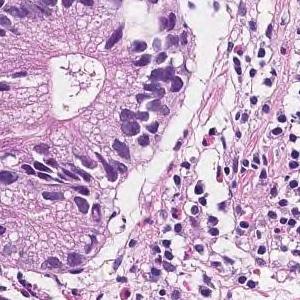
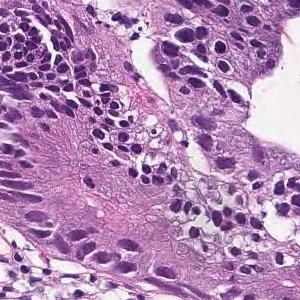
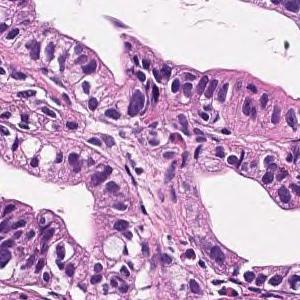
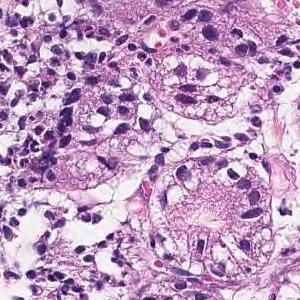
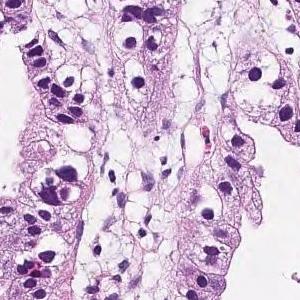
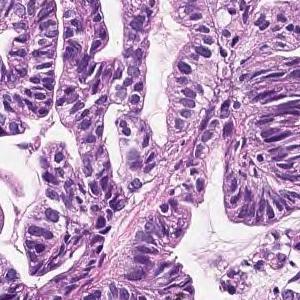
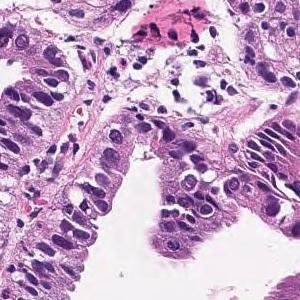
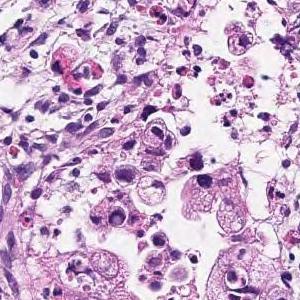
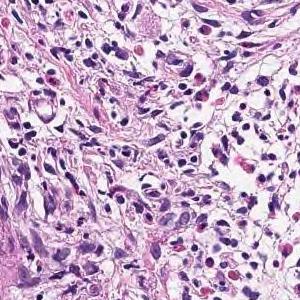
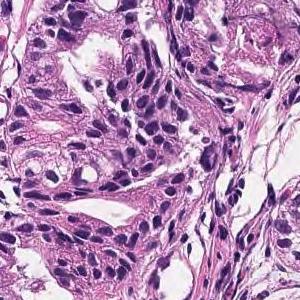
Hematoxylin and eosin stain; ×20; 10 image tiles from a single gastric biopsy slide; each 300 × 300 pixels.
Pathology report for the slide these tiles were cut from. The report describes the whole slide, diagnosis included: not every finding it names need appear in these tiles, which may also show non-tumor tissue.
In the superficial epithelium, tumor tissue that invades by forming medium-sized to small, irregular ducts is observed. Moderately differentiated adenocarcinoma.
Classified as moderately differentiated tubular adenocarcinoma.
